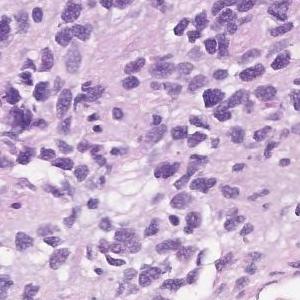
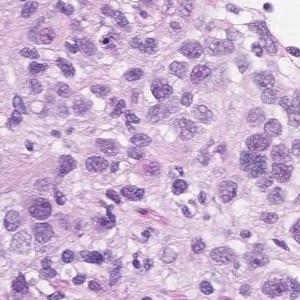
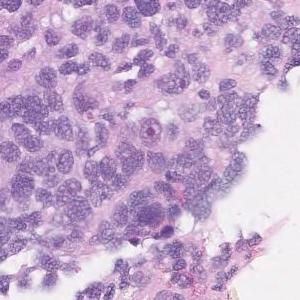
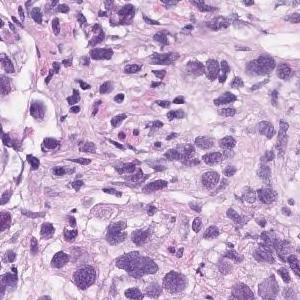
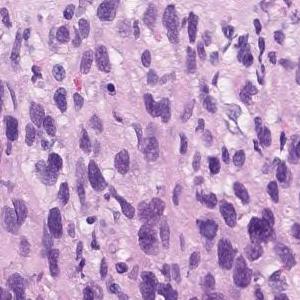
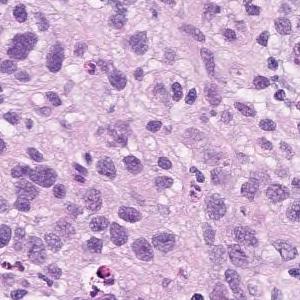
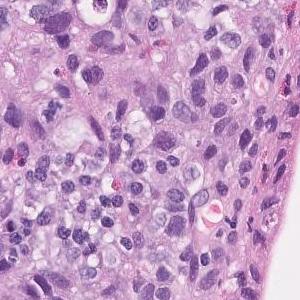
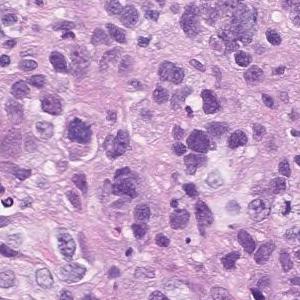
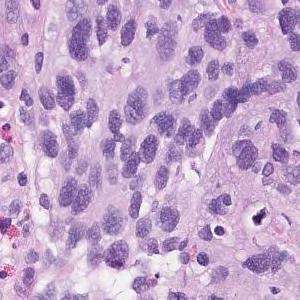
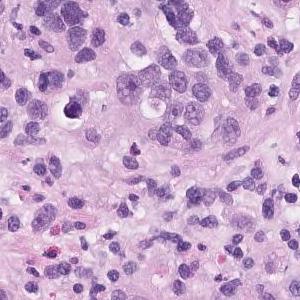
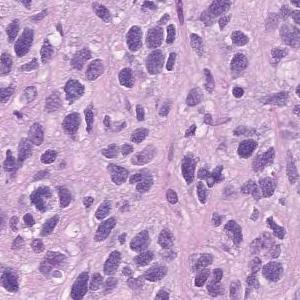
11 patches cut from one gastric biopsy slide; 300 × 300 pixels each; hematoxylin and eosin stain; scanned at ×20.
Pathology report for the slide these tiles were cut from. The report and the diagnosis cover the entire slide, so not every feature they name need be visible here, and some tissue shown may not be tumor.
Atypical l cells with atypical nuclei under the mucosa growing in isolation and scattered. Poorly differentiated adenocarcinoma (poorly differentiated adenocarcinoma, non-solid type)
Subtype: Poorly differentiated adenocarcinoma, non-solid type.
The term "non-solid type" comes from the Japanese Classification of Gastric Carcinoma.
